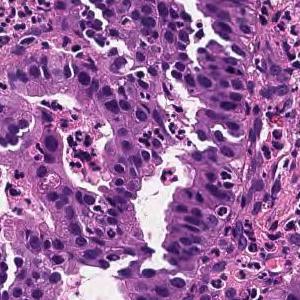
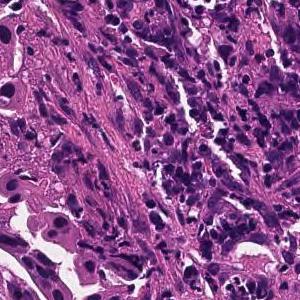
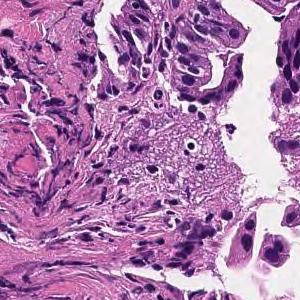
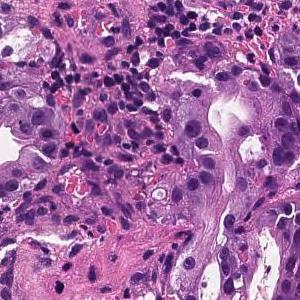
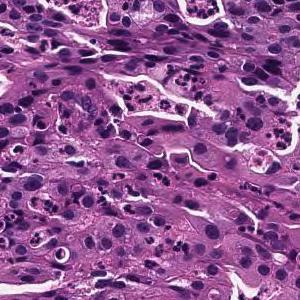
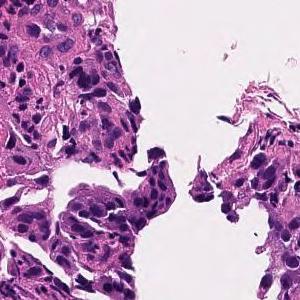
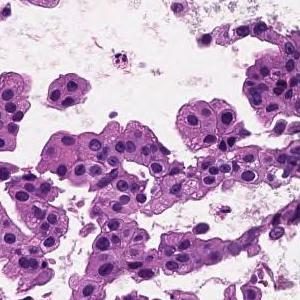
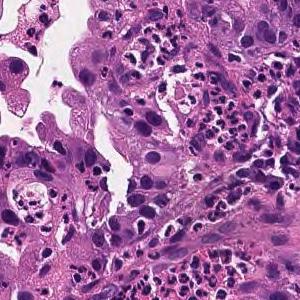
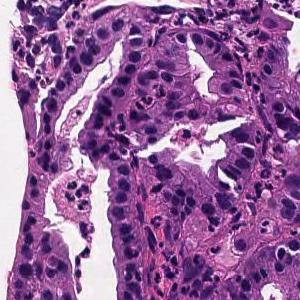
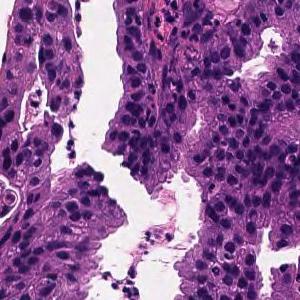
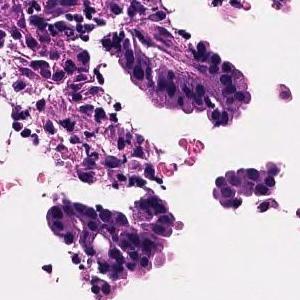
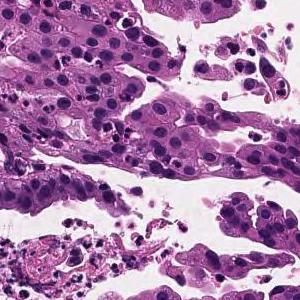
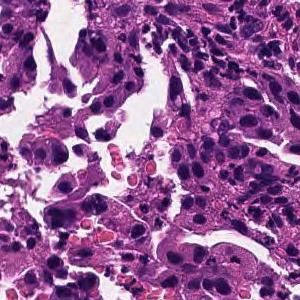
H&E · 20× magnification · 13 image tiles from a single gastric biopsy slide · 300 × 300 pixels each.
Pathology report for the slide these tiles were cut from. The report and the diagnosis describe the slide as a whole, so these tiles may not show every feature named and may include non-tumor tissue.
On the superficial epithelium, tumor tissue consisting of large, irregular glandular ducts partially fused and infiltrated is observed. Well to moderately differentiated tubular adenocarcinoma (well differentiated tubular adenocarcinoma, moderately differentiated tubular adenocarcinoma)
Classified as well to moderately differentiated tubular adenocarcinoma.
